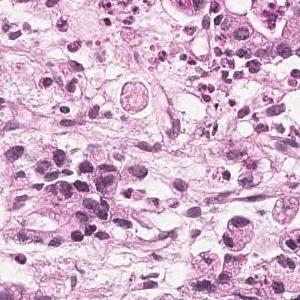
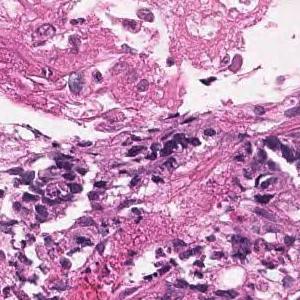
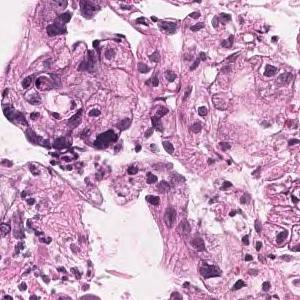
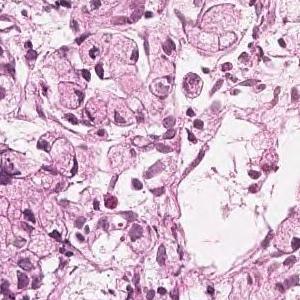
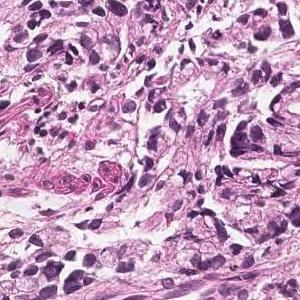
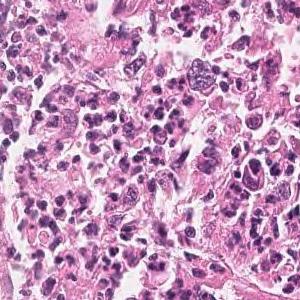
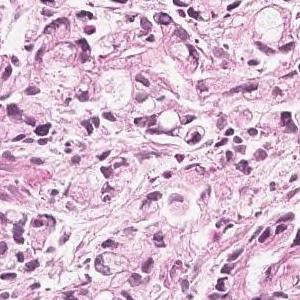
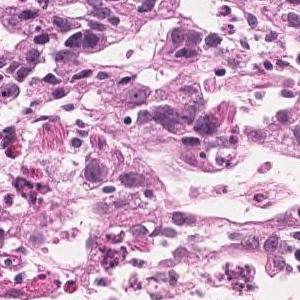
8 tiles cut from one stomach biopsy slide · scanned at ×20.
Pathology report for the slide these tiles were cut from. What the report and the diagnosis say applies to the whole slide; these tiles may miss some of the features named and may include tissue that is not tumor.
In the superficial epithelium, medium to small irregular gland ducts are formed, and in some cases, the ducts are fused to show solid alveolar lesions and infiltrating tumor tissue is observed. Moderately to poorly differentiated adenocarcinoma
